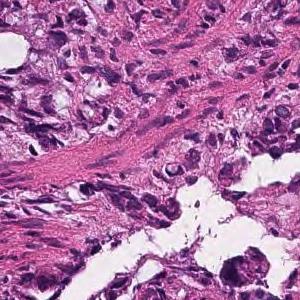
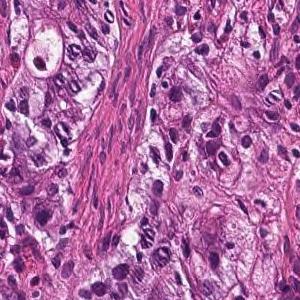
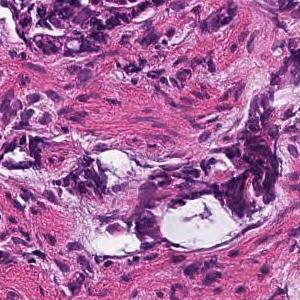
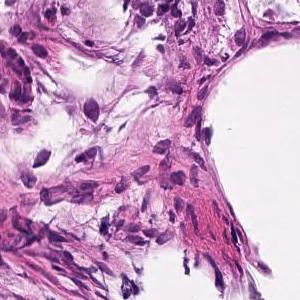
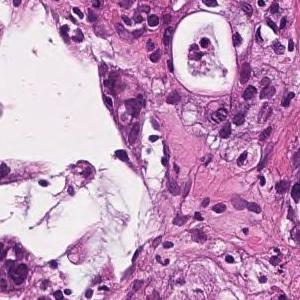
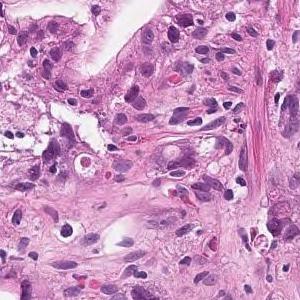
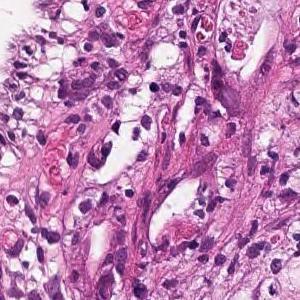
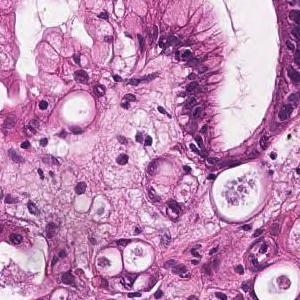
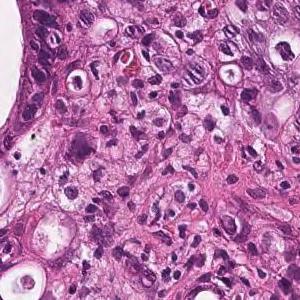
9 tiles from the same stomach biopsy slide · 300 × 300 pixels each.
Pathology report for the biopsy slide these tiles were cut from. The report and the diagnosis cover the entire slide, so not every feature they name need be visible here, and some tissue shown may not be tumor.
In the gastric mucosal tissue, tumor tissue that forms irregular glandular cavities of medium to small size or shows small cords and infiltrates is observed. moderately differentiated tubular adenocarcinoma
